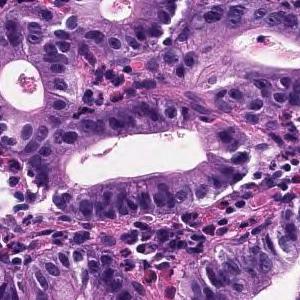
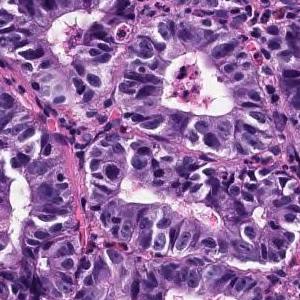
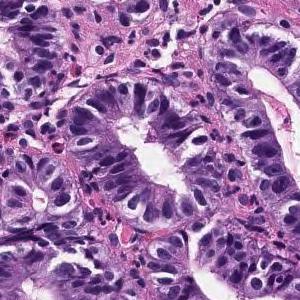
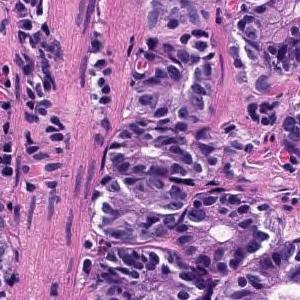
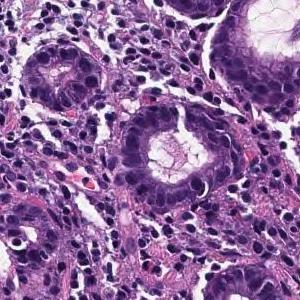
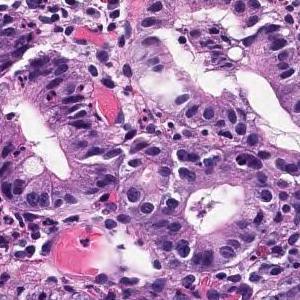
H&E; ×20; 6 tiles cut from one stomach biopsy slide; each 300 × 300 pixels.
Report on the slide these tiles come from. The report and the diagnosis cover the entire slide, so not every feature they name need be visible here, and some tissue shown may not be tumor.
Tumor tissue consisting of medium-sized and irregular ducts is observed infiltrating in the superficial epithelium. Tumor cells are highly columnar, with nuclei aligned basolaterally and polarized. Well differentiated tubular adenocarcinoma.
